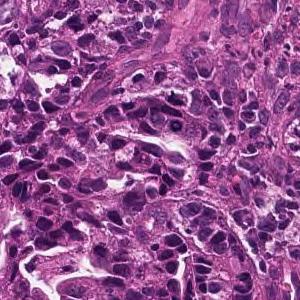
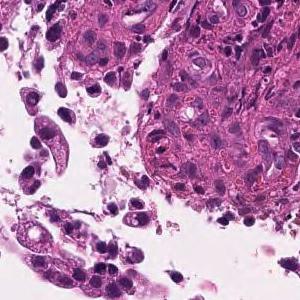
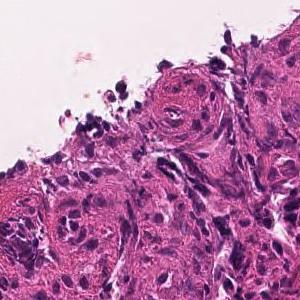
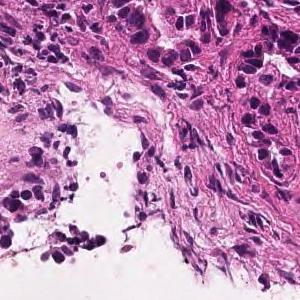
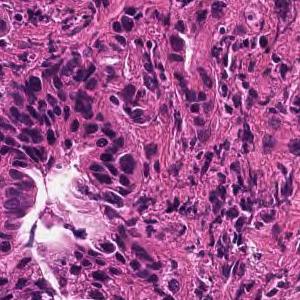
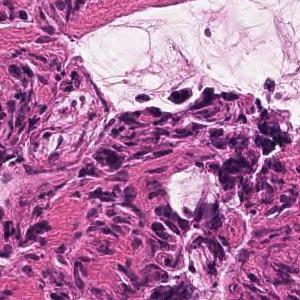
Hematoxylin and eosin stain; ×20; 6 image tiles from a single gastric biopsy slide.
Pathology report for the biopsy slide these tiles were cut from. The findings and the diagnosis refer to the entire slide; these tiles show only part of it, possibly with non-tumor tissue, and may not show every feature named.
In the superficial epithelium, tumor tissue that invades by forming medium-sized to small, irregular ducts is observed. moderately differentiated tubular adenocarcinoma.
